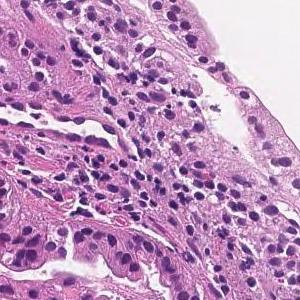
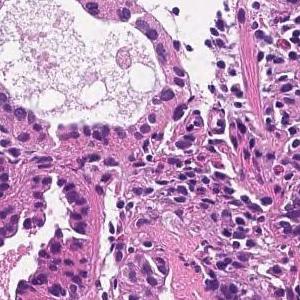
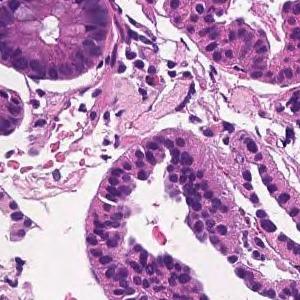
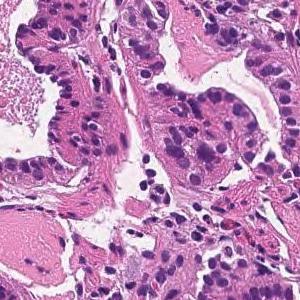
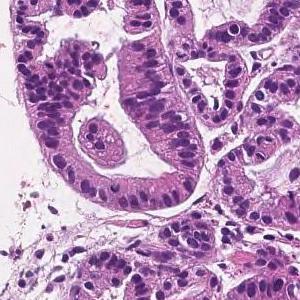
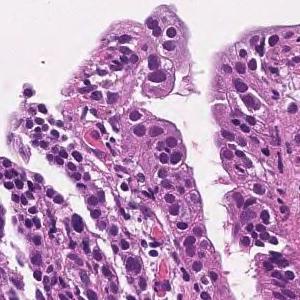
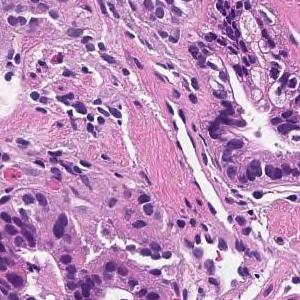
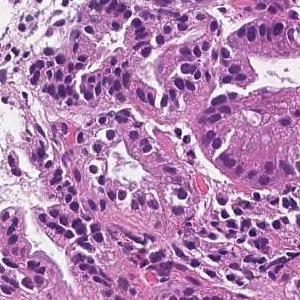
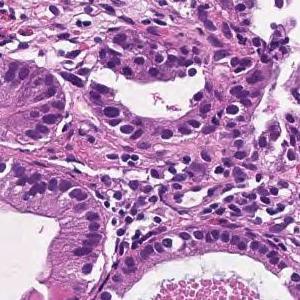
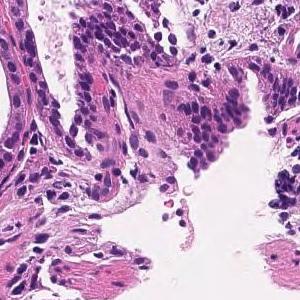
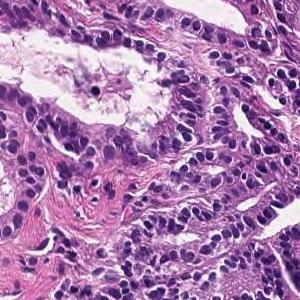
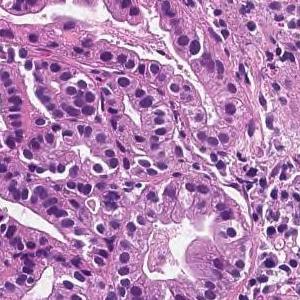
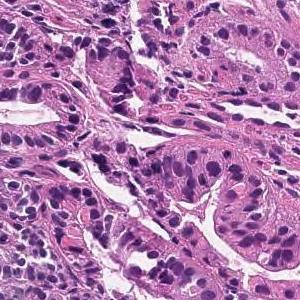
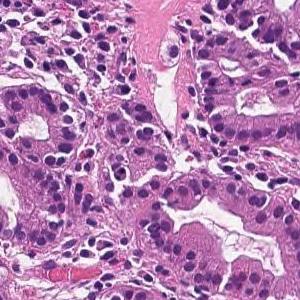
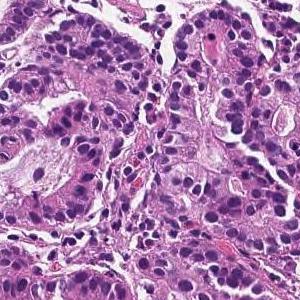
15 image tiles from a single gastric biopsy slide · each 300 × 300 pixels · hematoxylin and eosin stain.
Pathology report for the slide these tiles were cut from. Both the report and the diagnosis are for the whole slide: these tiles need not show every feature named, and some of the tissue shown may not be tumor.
On the superficial epithelium, tumor tissue that infiltrates by forming medium-sized papillary or small irregular ducts is observed. Papillary adenocarcinoma (Papillary adenocarcinoma)
Histologic type: Papillary adenocarcinoma.
